4 image tiles from a single gastric biopsy slide, 300 × 300 pixels each, scanned at ×20, H&E.
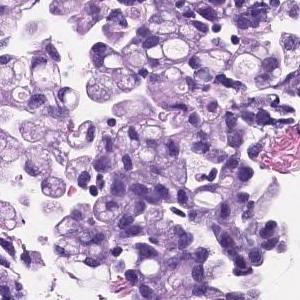
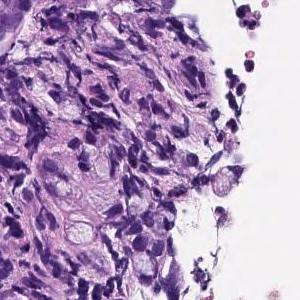
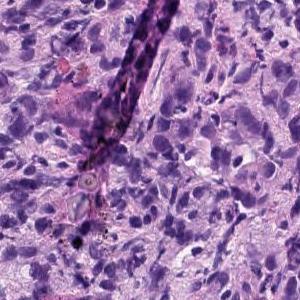
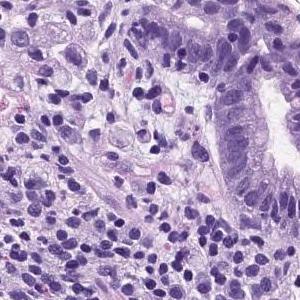
Diagnostic report for the slide these tiles come from. What the report and the diagnosis say applies to the whole slide; these tiles may miss some of the features named and may include tissue that is not tumor.
Diffusely growing signet-ring cells are found in the lamina propria. Signet ring cell carcinoma.
